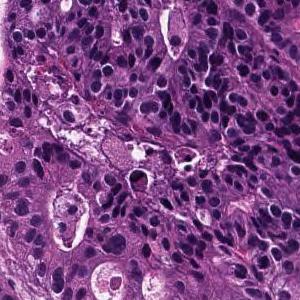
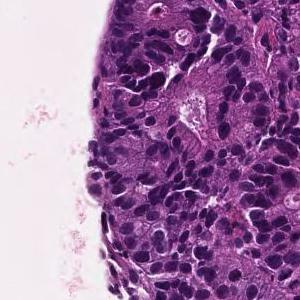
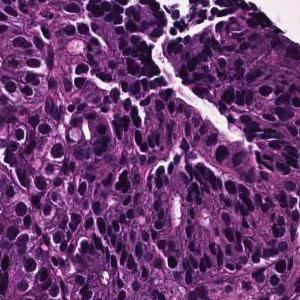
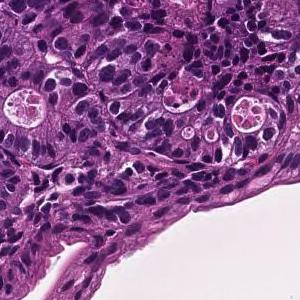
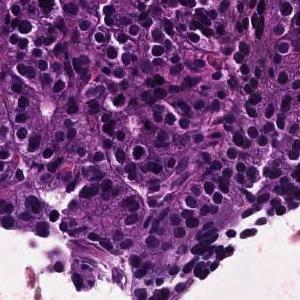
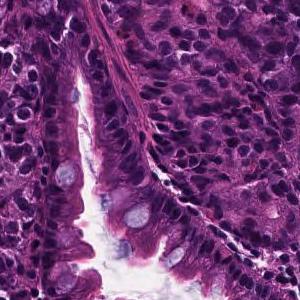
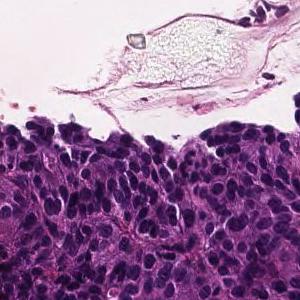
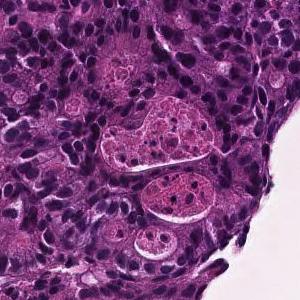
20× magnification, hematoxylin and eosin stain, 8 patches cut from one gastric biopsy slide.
The pathologist's report on the biopsy slide these tiles were taken from. Both the report and the diagnosis are for the whole slide: these tiles need not show every feature named, and some of the tissue shown may not be tumor.
In the superficial epithelium, tumor tissue that invades by forming medium-sized to small, irregular ducts is observed. moderately differentiated tubular adenocarcinoma.
